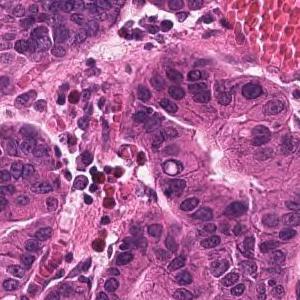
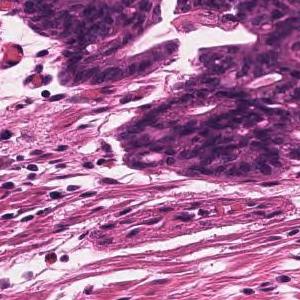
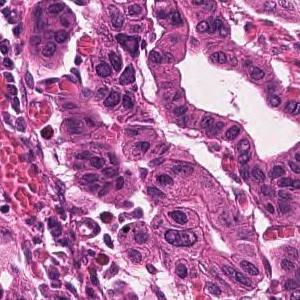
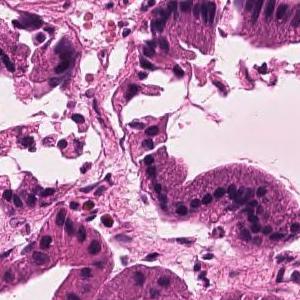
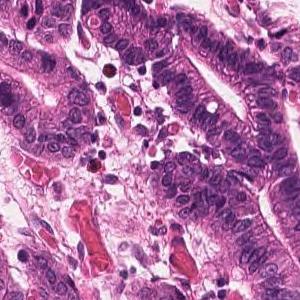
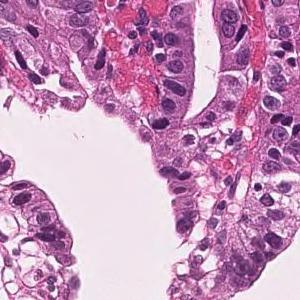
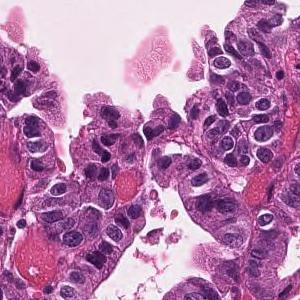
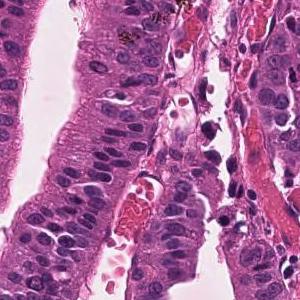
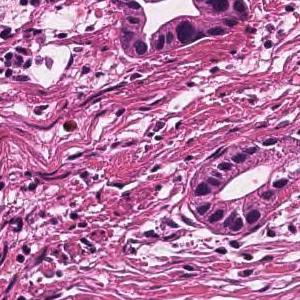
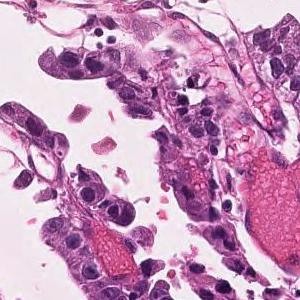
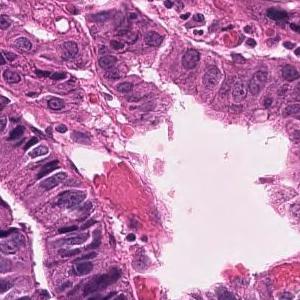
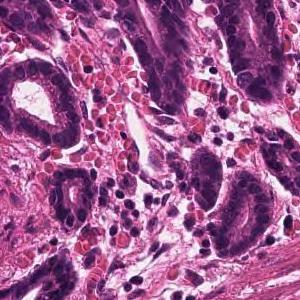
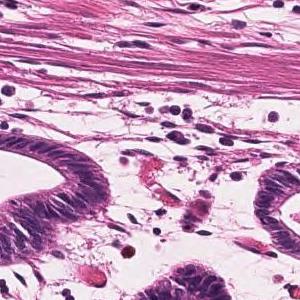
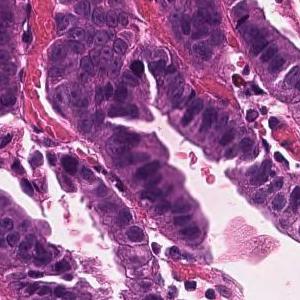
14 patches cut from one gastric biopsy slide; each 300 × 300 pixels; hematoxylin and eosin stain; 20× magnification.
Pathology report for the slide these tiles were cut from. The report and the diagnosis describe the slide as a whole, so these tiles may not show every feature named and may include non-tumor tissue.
Infiltrating tumor tissue with medium-sized, irregular ductal structure or large papillary appearance is observed. Well differentiated tubular adenocarcinoma
